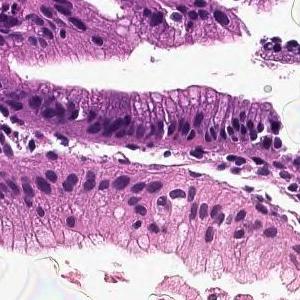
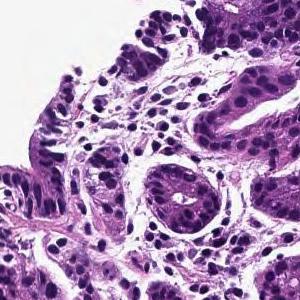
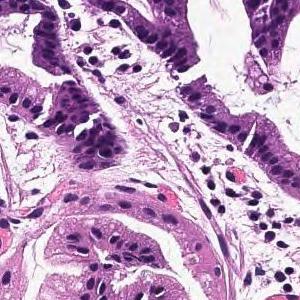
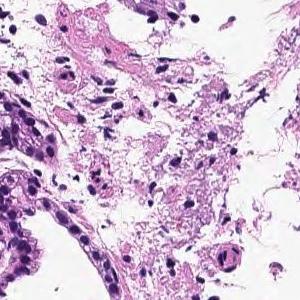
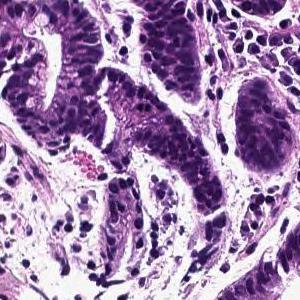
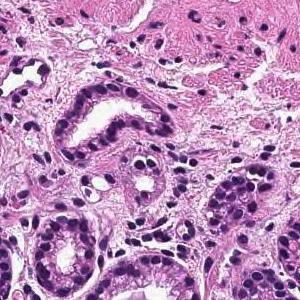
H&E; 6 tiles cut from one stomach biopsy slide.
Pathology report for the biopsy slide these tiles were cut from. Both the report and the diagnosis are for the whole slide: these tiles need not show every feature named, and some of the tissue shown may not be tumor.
In the superficial epithelium, tumor tissue that invades by forming medium-sized to small, irregular ducts is observed. moderately differentiated tubular adenocarcinoma.
